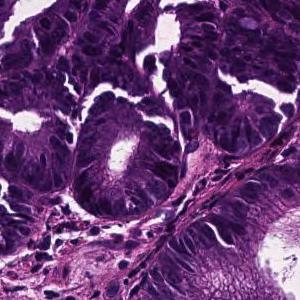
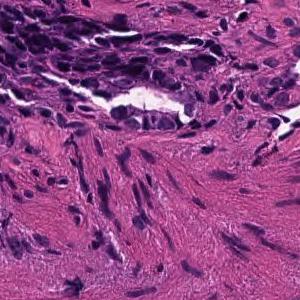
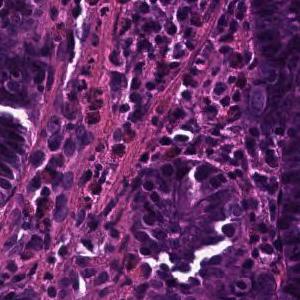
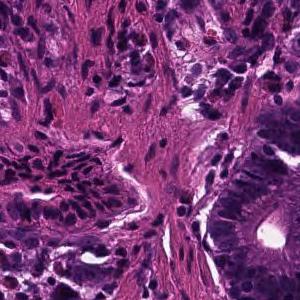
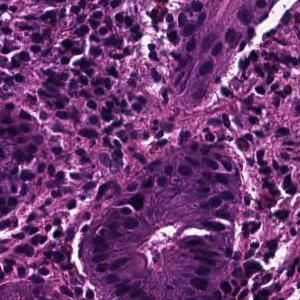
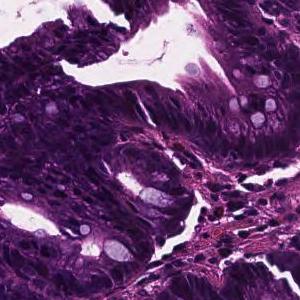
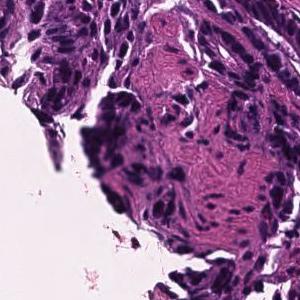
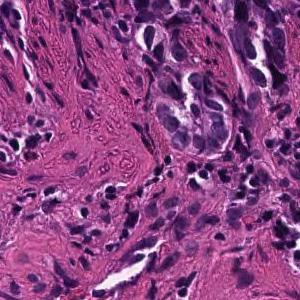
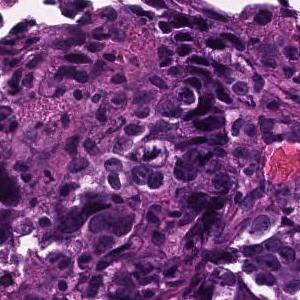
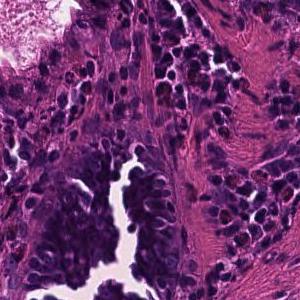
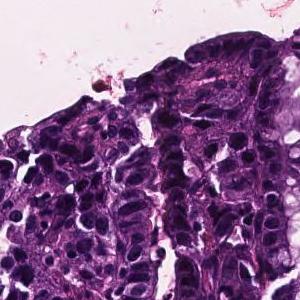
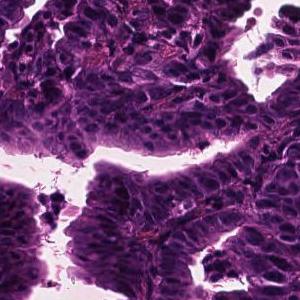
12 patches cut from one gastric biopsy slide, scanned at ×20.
The pathologist's report on the biopsy slide these tiles were taken from. The report and the diagnosis describe the slide as a whole, so these tiles may not show every feature named and may include non-tumor tissue.
In the superficial epithelium, tumor tissue that invades by forming medium-sized to small, irregular ducts is observed. moderately differentiated tubular adenocarcinoma.
